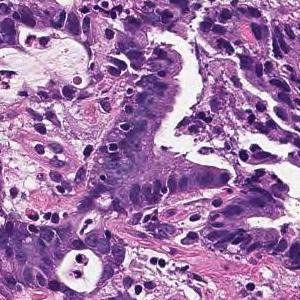
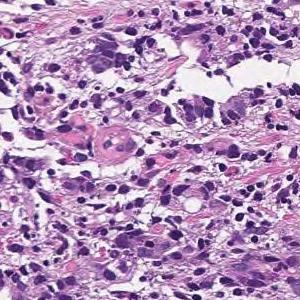
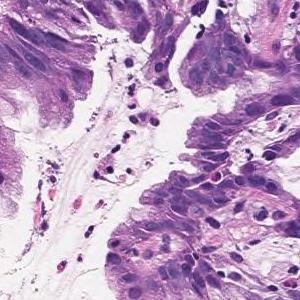
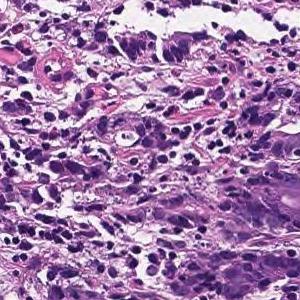
4 tiles cut from one stomach biopsy slide; 300 × 300 pixels each.
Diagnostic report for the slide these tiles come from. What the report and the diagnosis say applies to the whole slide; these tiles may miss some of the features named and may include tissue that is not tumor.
Tumor tissue consisting of cord-like or small, irregular glandular ducts fused and infiltrated is observed in the superficial epithelium. Poorly differentiated adenocarcinoma, non-solid type
The non-solid type named here is a Japanese Classification of Gastric Carcinoma category.
